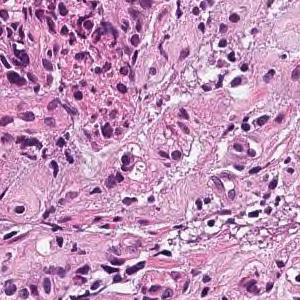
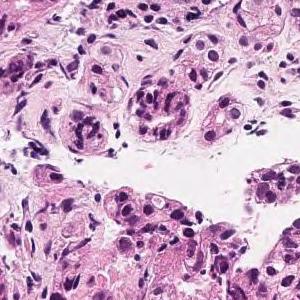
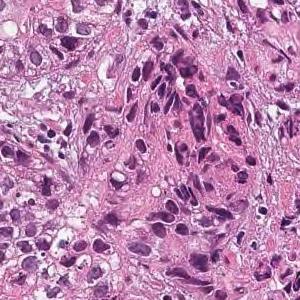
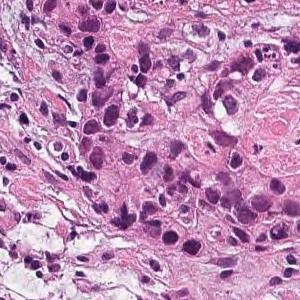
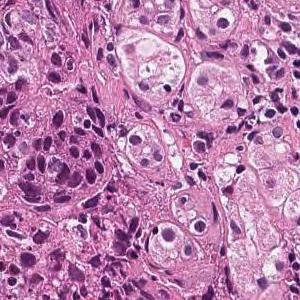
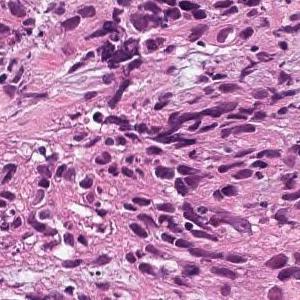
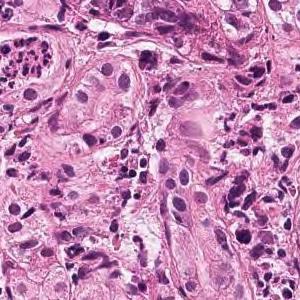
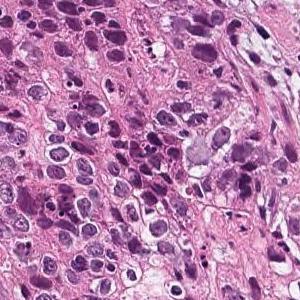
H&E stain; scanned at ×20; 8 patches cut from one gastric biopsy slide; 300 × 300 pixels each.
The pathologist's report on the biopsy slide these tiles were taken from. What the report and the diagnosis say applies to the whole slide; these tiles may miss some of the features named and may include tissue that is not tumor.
Medium to small, irregular glandular ducts are formed in the superficial epithelium, and in some cases, the glandular ducts are fused to show solid alveolar lesions and infiltrating tumor tissue is observed. Moderately to poorly differentiated adenocarcinoma.
